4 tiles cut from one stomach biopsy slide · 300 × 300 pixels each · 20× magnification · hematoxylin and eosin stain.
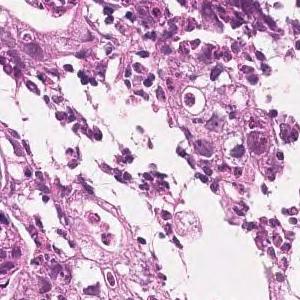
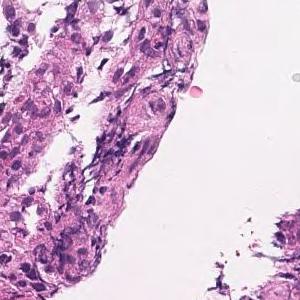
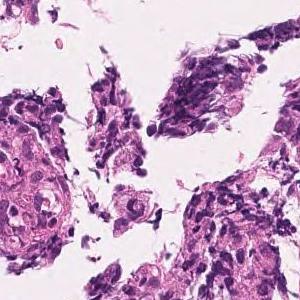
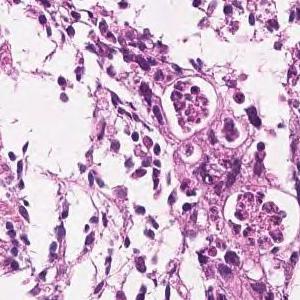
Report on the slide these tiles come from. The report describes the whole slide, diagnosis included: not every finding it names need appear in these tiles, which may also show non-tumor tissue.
In the superficial epithelium, medium to small, irregular glandular ducts are formed, and in some parts, the glandular ducts are fused, and in other parts, small cord-like infiltrating tumor tissue is observed. Moderately to poorly differentiated adenocarcinoma.
